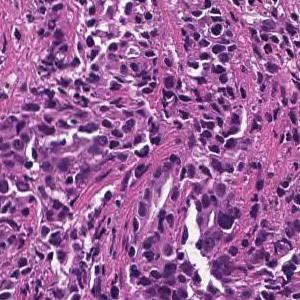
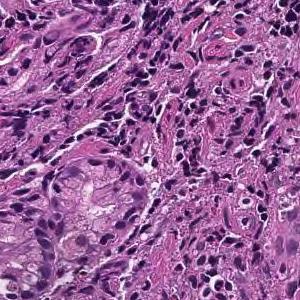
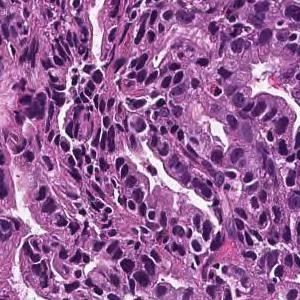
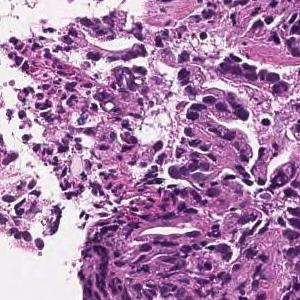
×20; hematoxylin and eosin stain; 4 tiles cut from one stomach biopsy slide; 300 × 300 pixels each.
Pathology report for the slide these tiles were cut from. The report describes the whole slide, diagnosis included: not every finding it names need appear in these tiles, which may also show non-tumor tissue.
On the superficial epithelium, tumor tissue that infiltrates by forming medium-sized papillary or small irregular ducts is observed. Papillary adenocarcinoma
